8 image tiles from a single gastric biopsy slide; H&E; scanned at ×20.
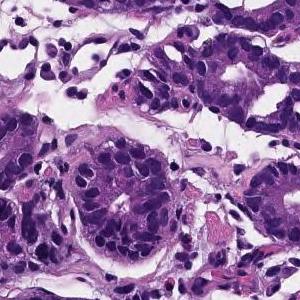
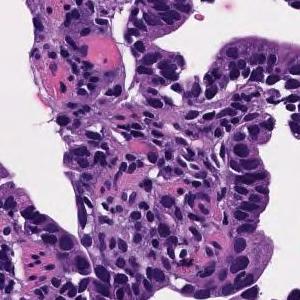
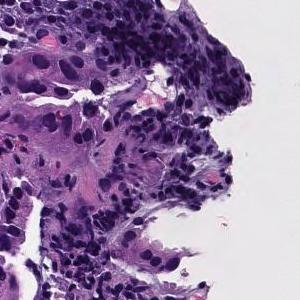
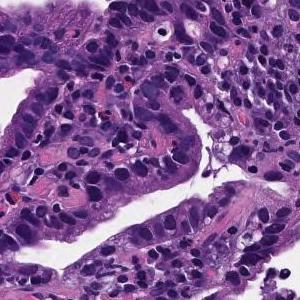
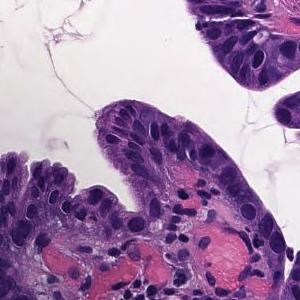
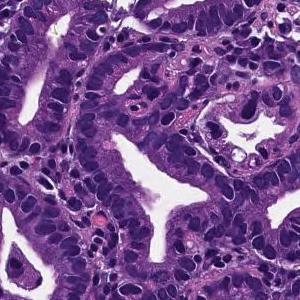
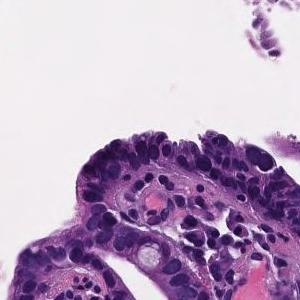
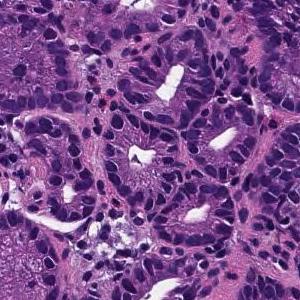
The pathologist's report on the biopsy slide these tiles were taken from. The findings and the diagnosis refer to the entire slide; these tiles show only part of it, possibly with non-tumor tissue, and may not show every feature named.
From the superficial epithelium to the muscularis mucosae, tumor tissue consisting of medium-sized and irregular glandular ducts infiltrating is observed. Well differentiated tubular adenocarcinoma
